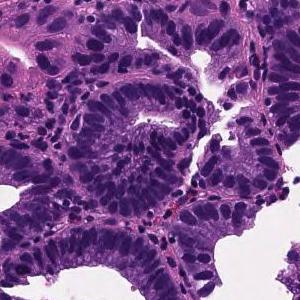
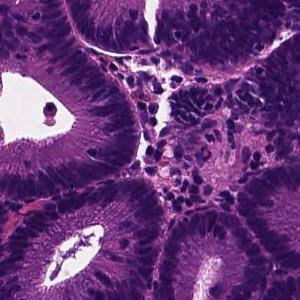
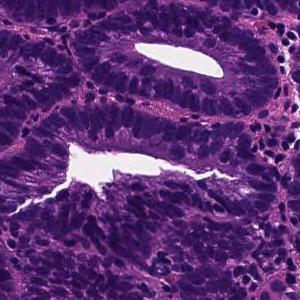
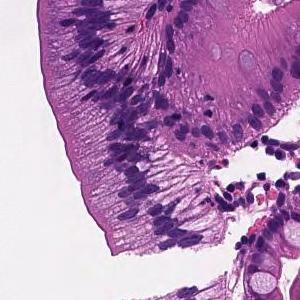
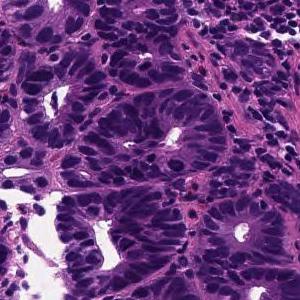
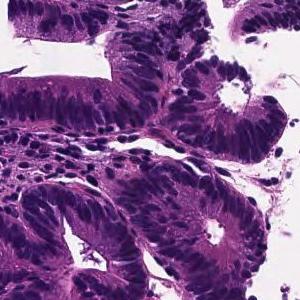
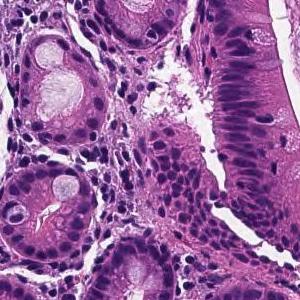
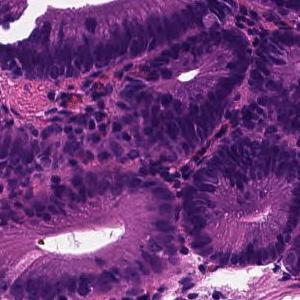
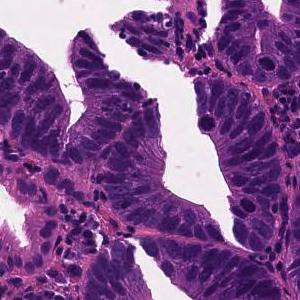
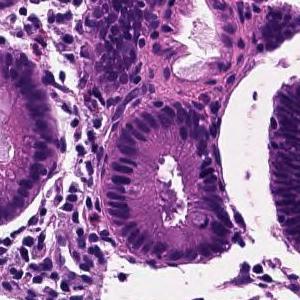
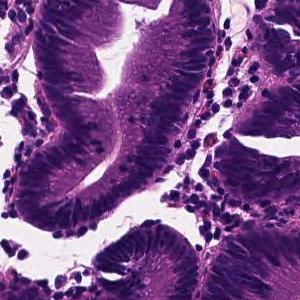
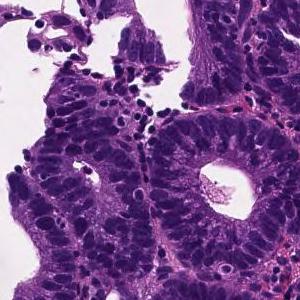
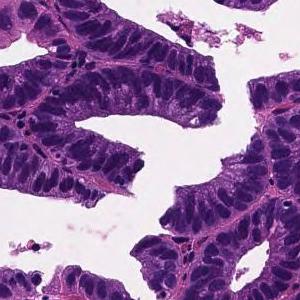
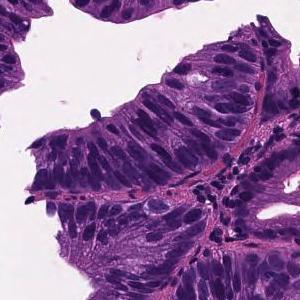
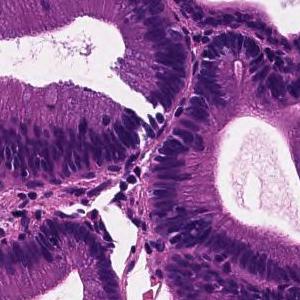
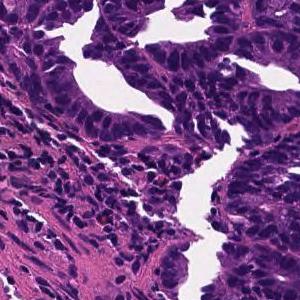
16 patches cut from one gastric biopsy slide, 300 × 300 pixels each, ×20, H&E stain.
Diagnostic report for the slide these tiles come from. The report describes the whole slide, diagnosis included: not every finding it names need appear in these tiles, which may also show non-tumor tissue.
Tumor tissue in which medium to small irregular ducts infiltrate and proliferate in the submucosa can be seen in the epithelium. Well differentiated tubular adenocarcinoma
